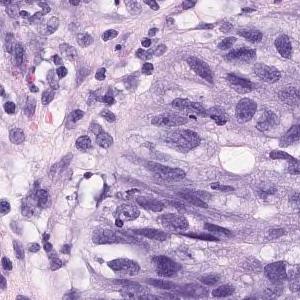
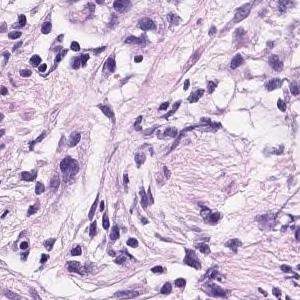
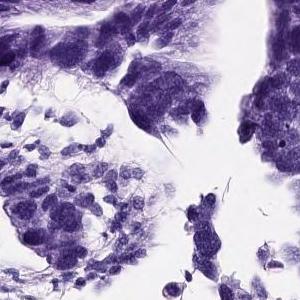
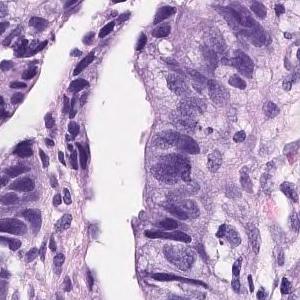
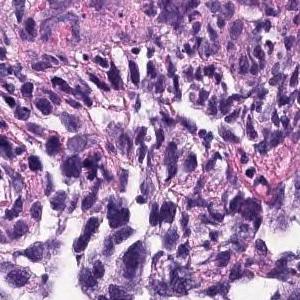
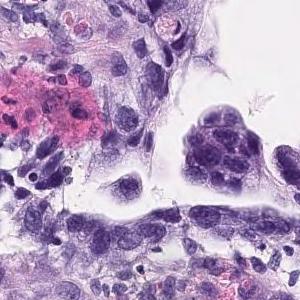
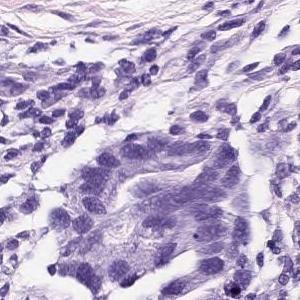
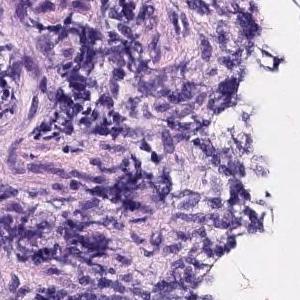
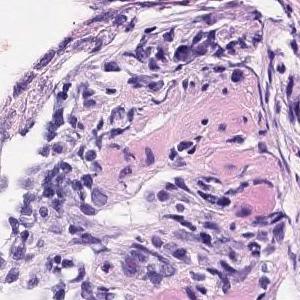
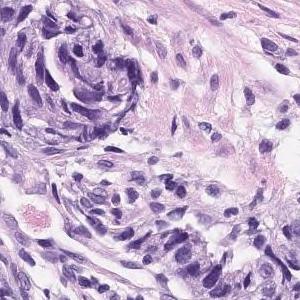
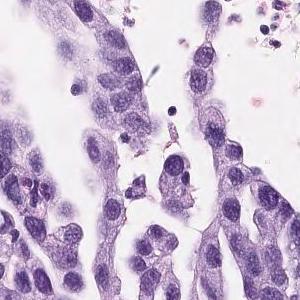
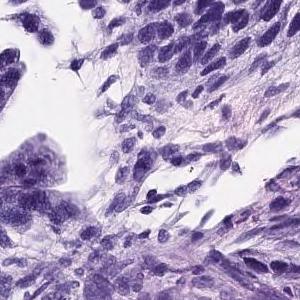
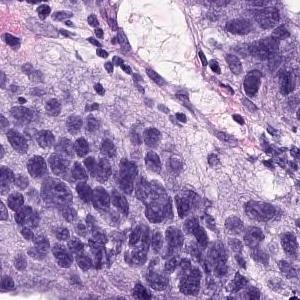
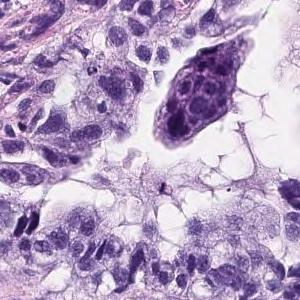
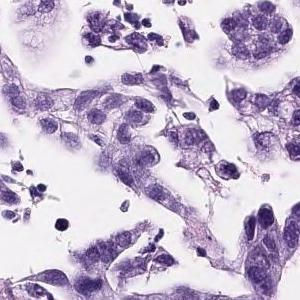
×20 · hematoxylin and eosin stain · 15 tiles from the same stomach biopsy slide.
Pathology report for the biopsy slide these tiles were cut from. The report and the diagnosis describe the slide as a whole, so these tiles may not show every feature named and may include non-tumor tissue.
On the superficial epithelium, tumor tissue consisting of medium to small irregular tubules partially fused and proliferated is observed. moderately differentiated tubular adenocarcinoma
